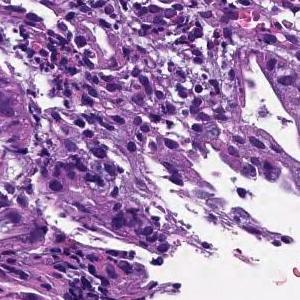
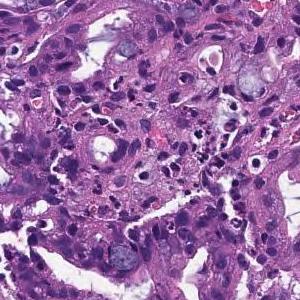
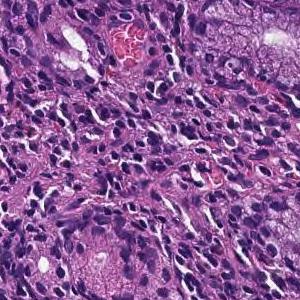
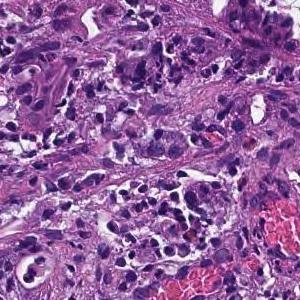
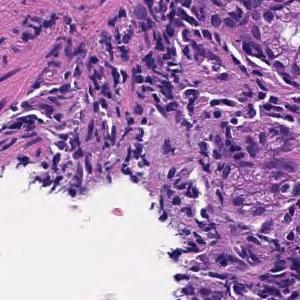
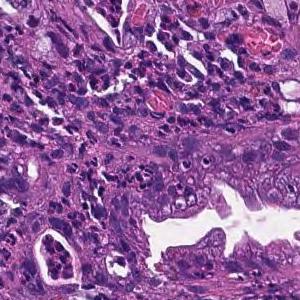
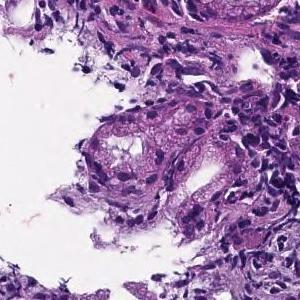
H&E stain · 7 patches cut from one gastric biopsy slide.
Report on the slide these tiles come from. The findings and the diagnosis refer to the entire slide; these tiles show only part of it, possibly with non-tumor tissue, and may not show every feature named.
In the superficial epithelium, tumor tissue that invades by forming medium-sized to small, irregular ducts is observed. moderately differentiated tubular adenocarcinoma.
